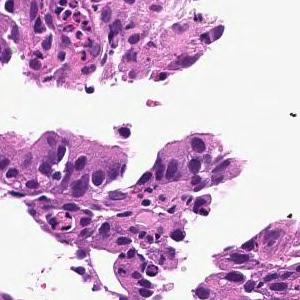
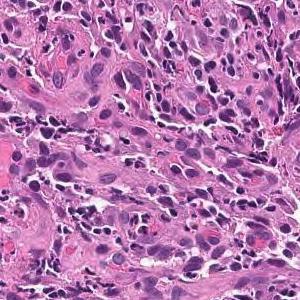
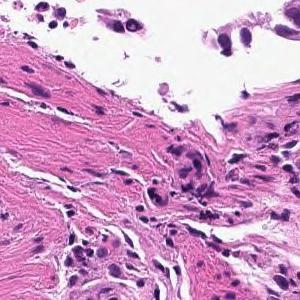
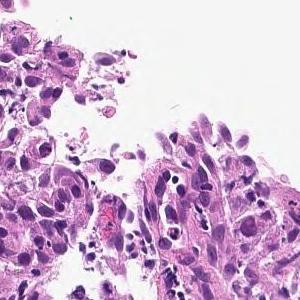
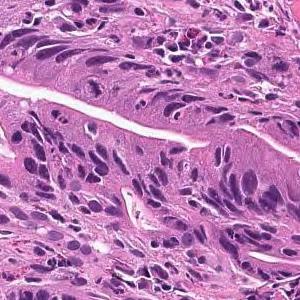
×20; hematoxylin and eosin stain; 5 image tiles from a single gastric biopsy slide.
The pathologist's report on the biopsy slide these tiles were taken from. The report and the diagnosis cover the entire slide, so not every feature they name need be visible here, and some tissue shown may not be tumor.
On the superficial epithelium, tumor tissue consisting of large irregular glandular ducts partially fused and infiltrated is observed. Well to moderately differentiated tubular adenocarcinoma (well differentiated tubular adenocarcinoma, moderately differentiated tubular adenocarcinoma)
Classified as well to moderately differentiated tubular adenocarcinoma.
